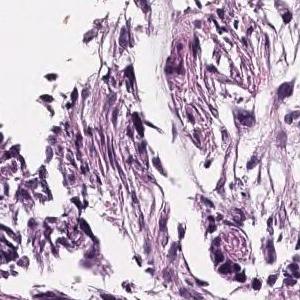
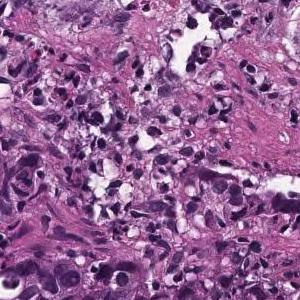
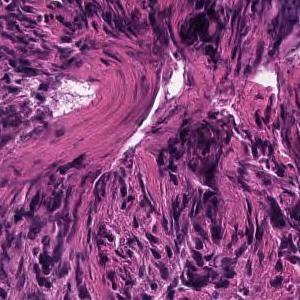
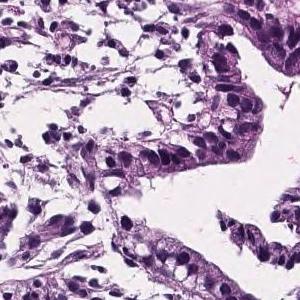
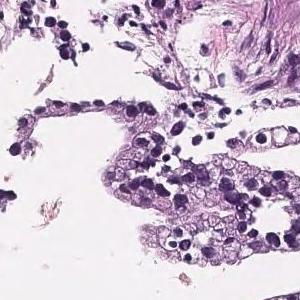
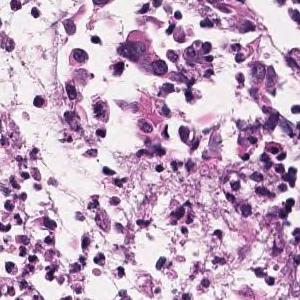
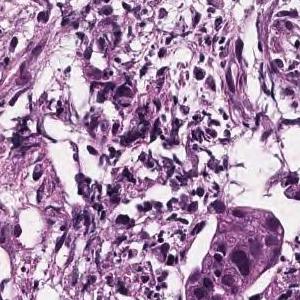
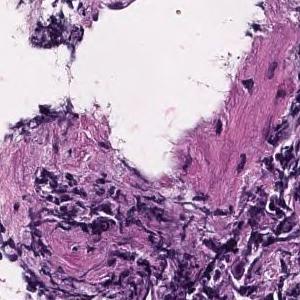
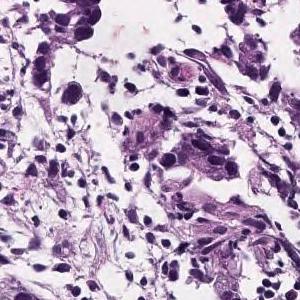
H&E; ×20; 9 tiles from the same stomach biopsy slide; each 300 × 300 pixels.
Diagnostic report for the slide these tiles come from. The report describes the whole slide, diagnosis included: not every finding it names need appear in these tiles, which may also show non-tumor tissue.
In the superficial epithelium, tumor tissue that invades by forming medium-sized to small, irregular ducts is observed. moderately differentiated tubular adenocarcinoma.
